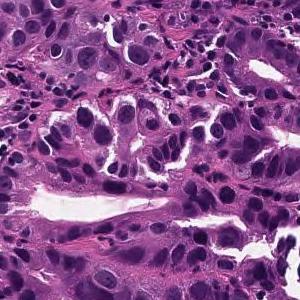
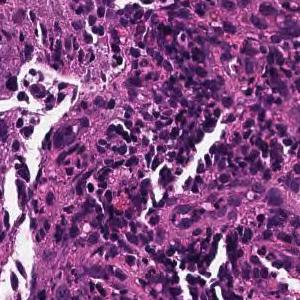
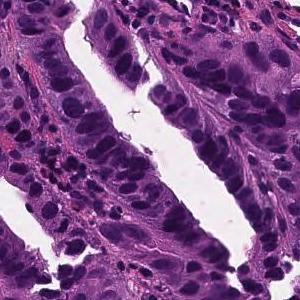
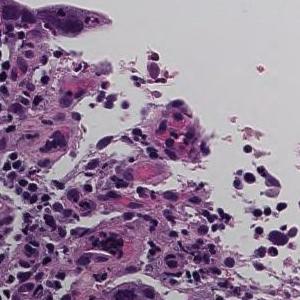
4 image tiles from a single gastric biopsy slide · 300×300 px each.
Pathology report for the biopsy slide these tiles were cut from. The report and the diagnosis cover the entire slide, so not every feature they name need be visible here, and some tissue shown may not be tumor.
On the superficial epithelium, tumor tissue consisting of large irregular glandular ducts partially fused and infiltrated is observed. Well to moderately differentiated tubular adenocarcinoma (well differentiated tubular adenocarcinoma, moderately differentiated tubular adenocarcinoma)
Histological subtype: Well to moderately differentiated tubular adenocarcinoma.
